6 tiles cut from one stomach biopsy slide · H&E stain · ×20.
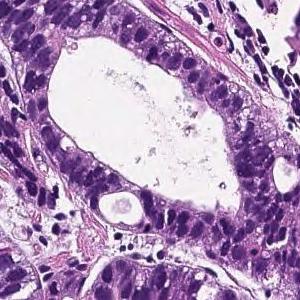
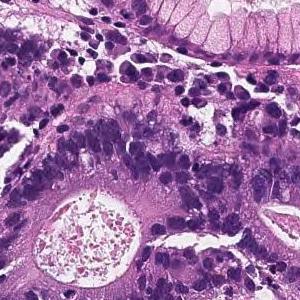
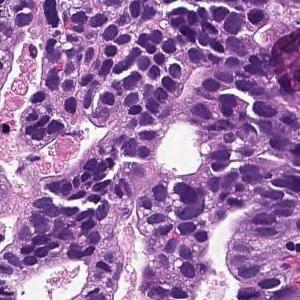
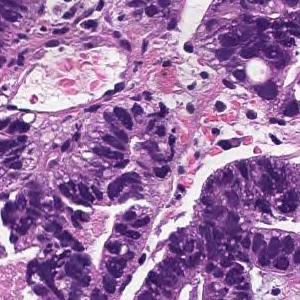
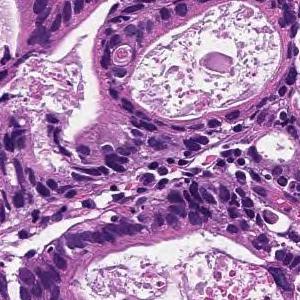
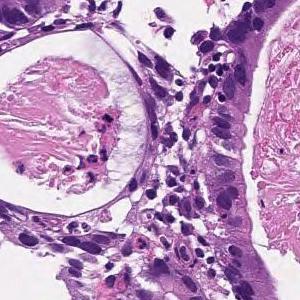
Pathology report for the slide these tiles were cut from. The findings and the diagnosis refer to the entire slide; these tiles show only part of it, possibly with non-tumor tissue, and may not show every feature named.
In the superficial epithelium, tumor tissue that invades by forming medium-sized to small, irregular ducts is observed. moderately differentiated tubular adenocarcinoma.
